5 tiles from the same stomach biopsy slide; 300×300 px each; H&E; 20× magnification.
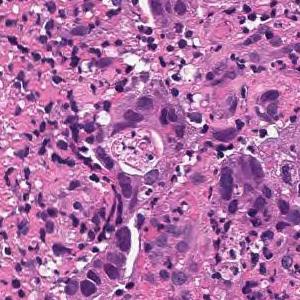
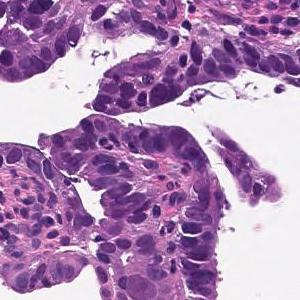
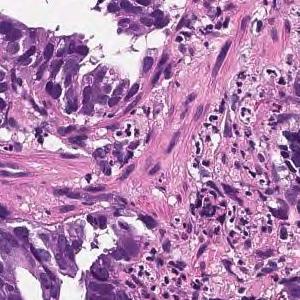
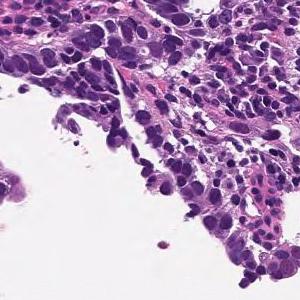
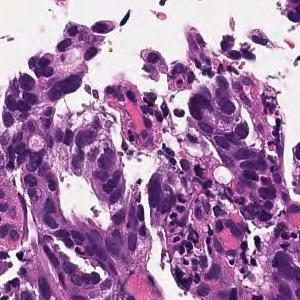
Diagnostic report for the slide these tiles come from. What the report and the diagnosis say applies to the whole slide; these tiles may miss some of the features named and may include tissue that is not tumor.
Tumor cells are large, highly columnar, large club-shaped nuclei, and are associated with chromatin aggregation. Papillary adenocarcinoma.
